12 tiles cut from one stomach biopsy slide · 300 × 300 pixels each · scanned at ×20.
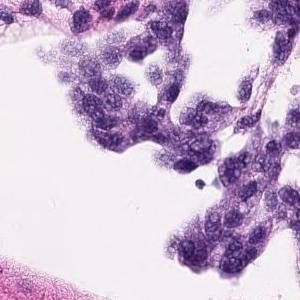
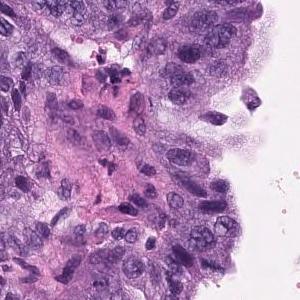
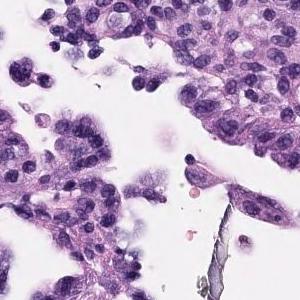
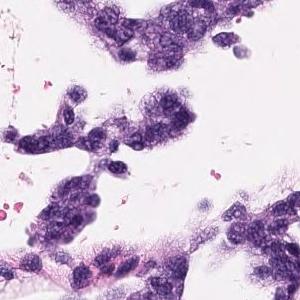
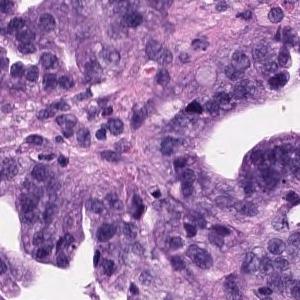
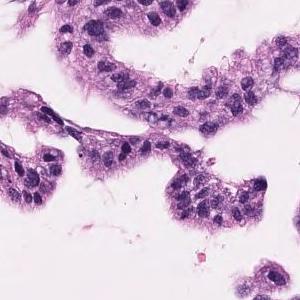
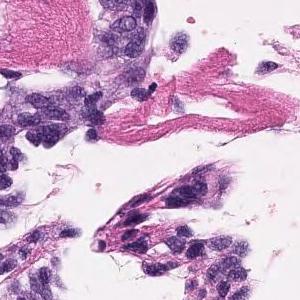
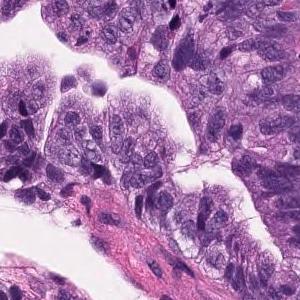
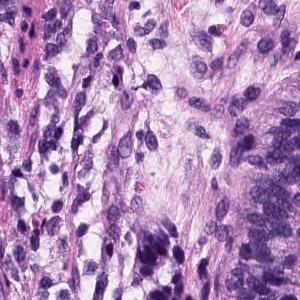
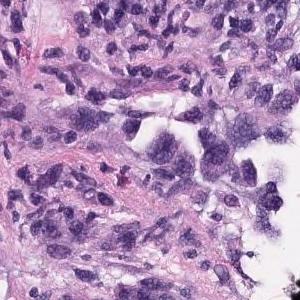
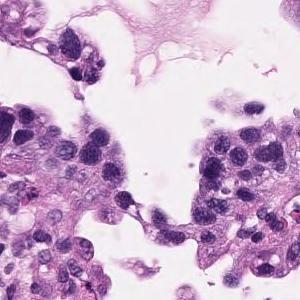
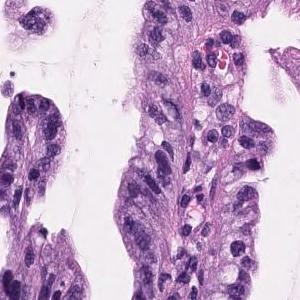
Pathology report for the slide these tiles were cut from. The report and the diagnosis cover the entire slide, so not every feature they name need be visible here, and some tissue shown may not be tumor.
Tumor cells are large, highly columnar, large club-shaped nuclei, and are associated with chromatin aggregation. Papillary adenocarcinoma.
